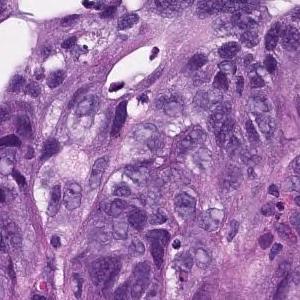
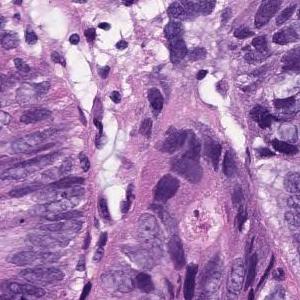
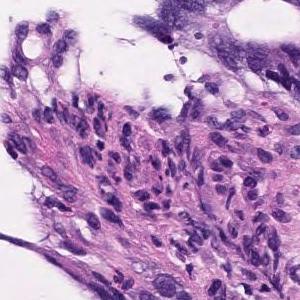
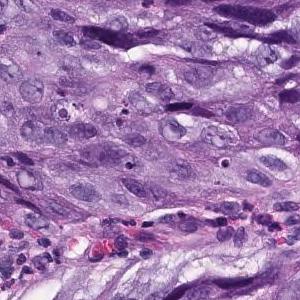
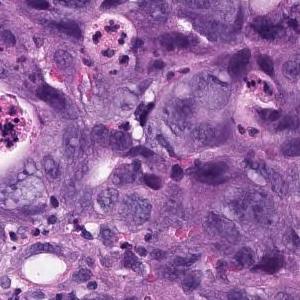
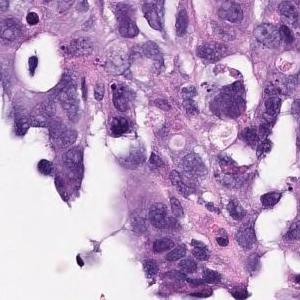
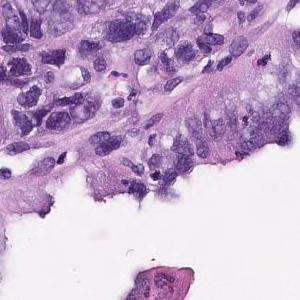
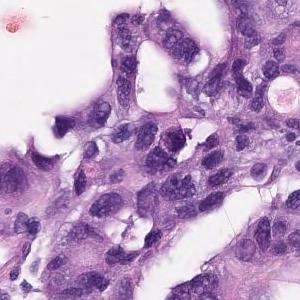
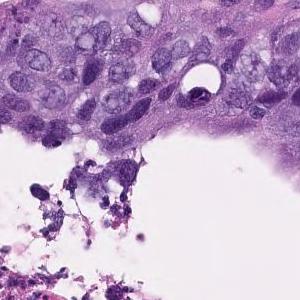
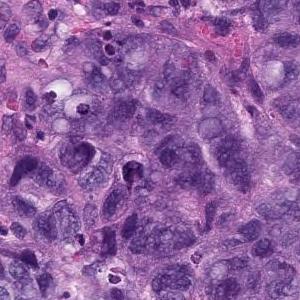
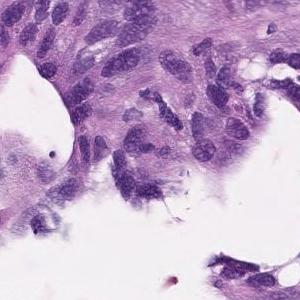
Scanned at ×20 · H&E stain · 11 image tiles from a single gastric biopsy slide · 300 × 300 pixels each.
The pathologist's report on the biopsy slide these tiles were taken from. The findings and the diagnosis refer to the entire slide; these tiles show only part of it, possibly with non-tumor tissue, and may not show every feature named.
In the superficial epithelium, tumor tissue that invades by forming medium-sized to small, irregular ducts is observed. Moderately differentiated adenocarcinoma.
Subtype: Moderately differentiated tubular adenocarcinoma.
